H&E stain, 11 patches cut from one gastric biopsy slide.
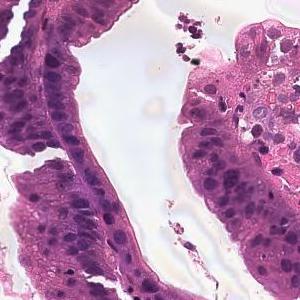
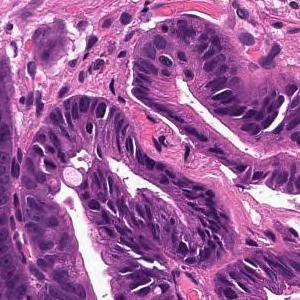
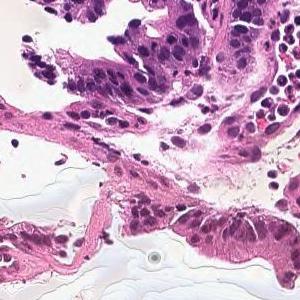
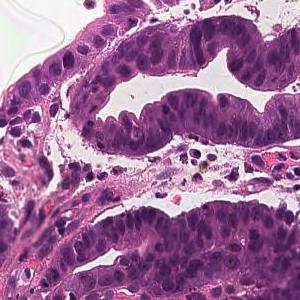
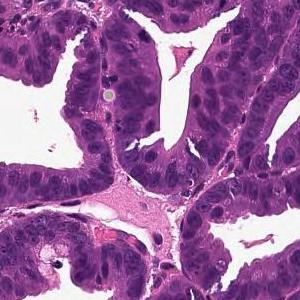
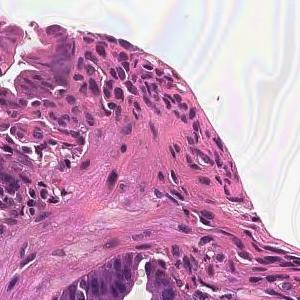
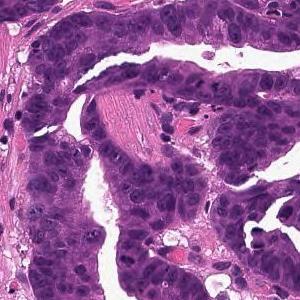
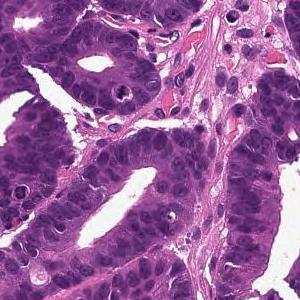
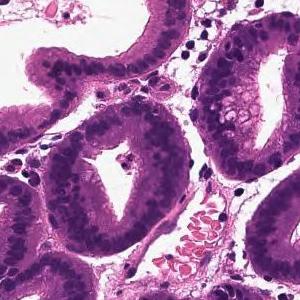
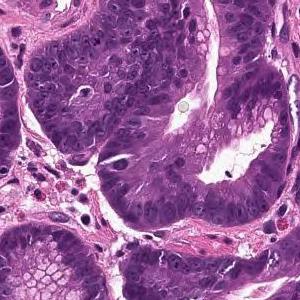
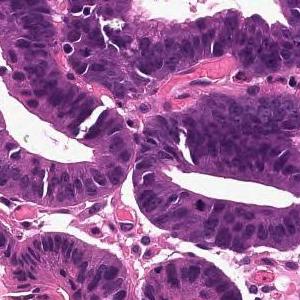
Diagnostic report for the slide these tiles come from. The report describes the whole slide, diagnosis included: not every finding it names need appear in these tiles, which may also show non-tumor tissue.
From the superficial epithelium to the muscularis mucosae, tumor tissue consisting of medium-sized and irregular glandular ducts infiltrating is observed. Well differentiated tubular adenocarcinoma
